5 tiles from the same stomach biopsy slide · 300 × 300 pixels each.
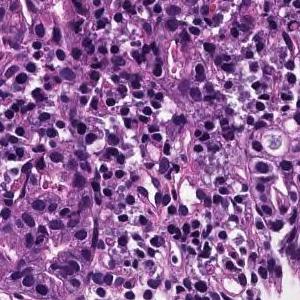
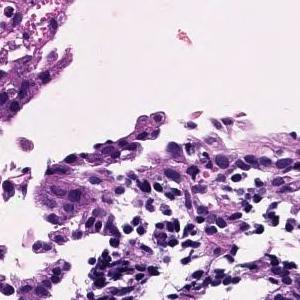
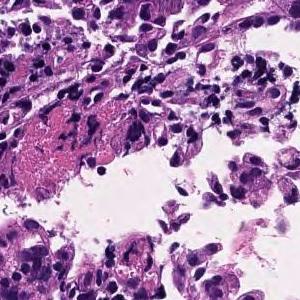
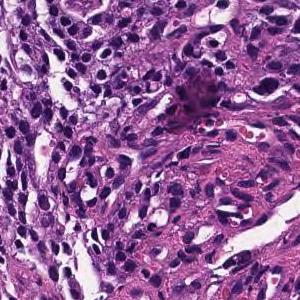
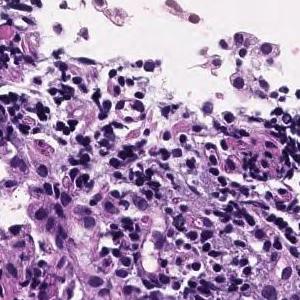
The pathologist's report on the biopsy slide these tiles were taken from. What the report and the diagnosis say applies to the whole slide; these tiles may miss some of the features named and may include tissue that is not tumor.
Medium to small, irregular glandular ducts are formed in the superficial epithelium, and in some cases, the glandular ducts are fused to show solid alveolar lesions and infiltrating tumor tissue is observed. Moderately to poorly differentiated adenocarcinoma.
